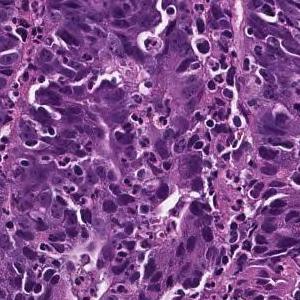
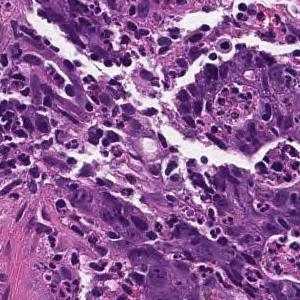
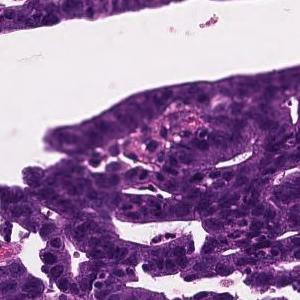
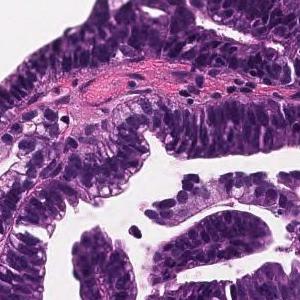
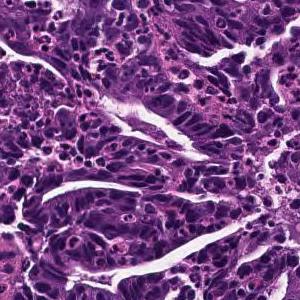
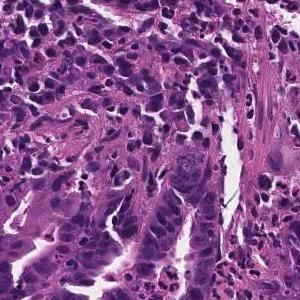
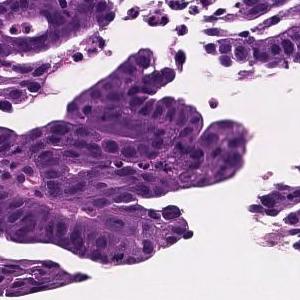
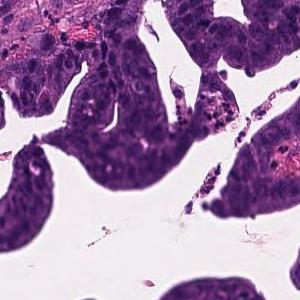
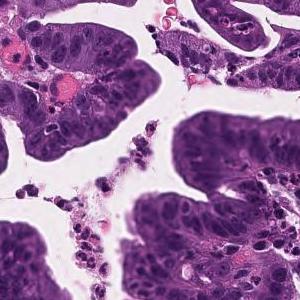
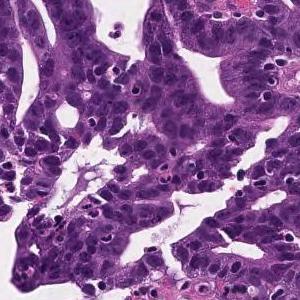
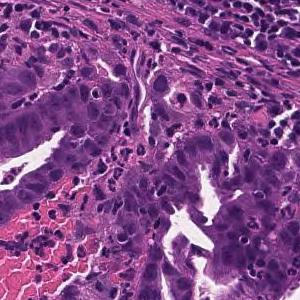
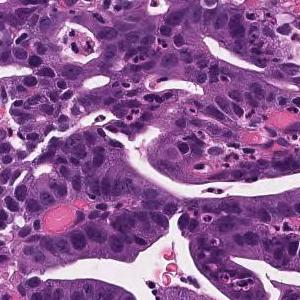
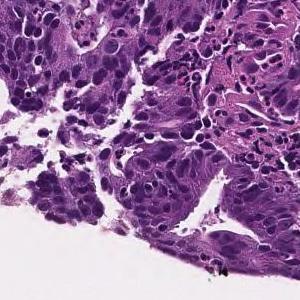
13 image tiles from a single gastric biopsy slide, 20× magnification, hematoxylin and eosin stain.
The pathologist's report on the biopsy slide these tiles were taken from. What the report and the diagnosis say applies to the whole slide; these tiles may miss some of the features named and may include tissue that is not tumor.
Tumor cells are large, highly columnar, large club-shaped nuclei, and are associated with chromatin aggregation. Papillary adenocarcinoma.
